20× magnification · H&E stain · 9 tiles cut from one stomach biopsy slide · each 300 × 300 pixels.
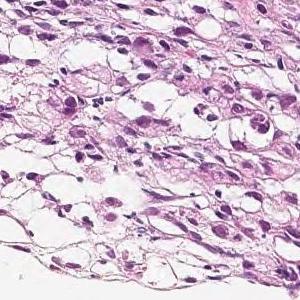
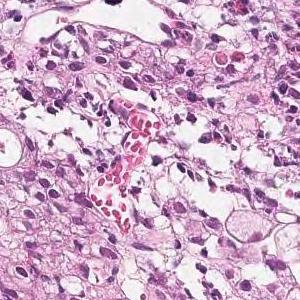
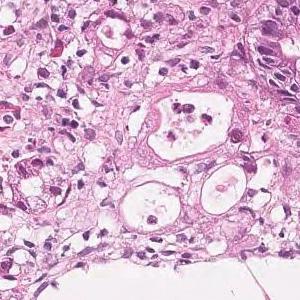
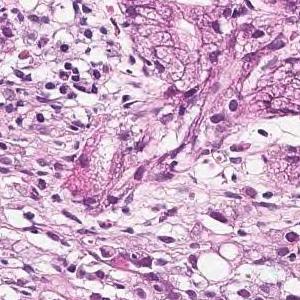
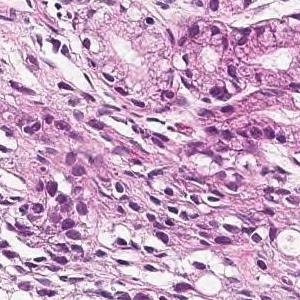
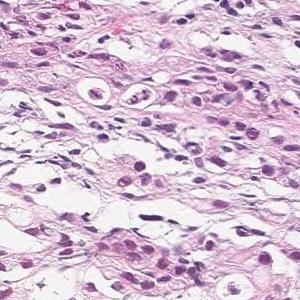
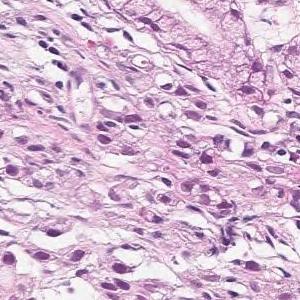
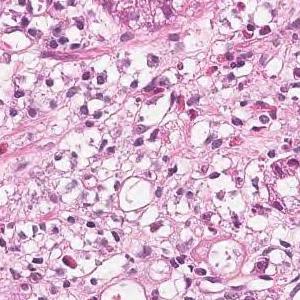
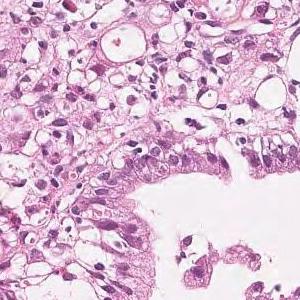
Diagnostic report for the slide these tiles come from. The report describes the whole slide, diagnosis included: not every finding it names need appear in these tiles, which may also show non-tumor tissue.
Atypical epithelium with abundant mucus in the vesicles shows a solid growth without ductal construction. Signet ring cell carcinoma
